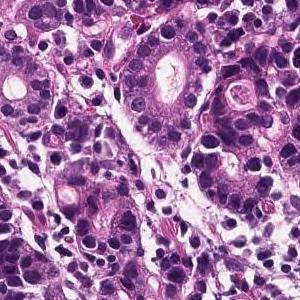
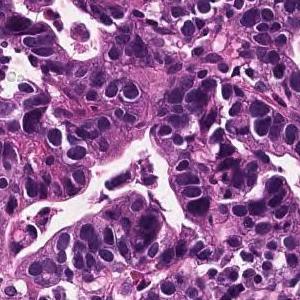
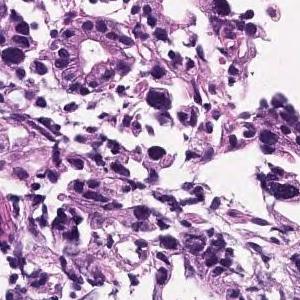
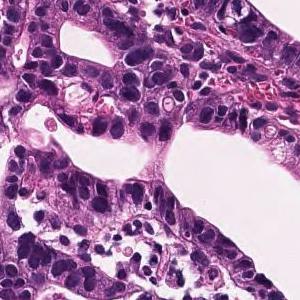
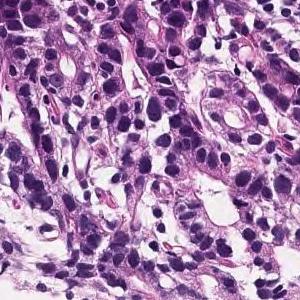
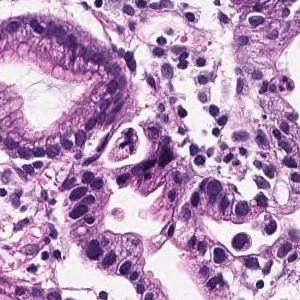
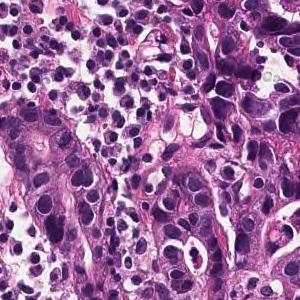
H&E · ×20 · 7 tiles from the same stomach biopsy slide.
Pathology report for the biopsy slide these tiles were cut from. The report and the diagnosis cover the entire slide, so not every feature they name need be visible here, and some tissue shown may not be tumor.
On the superficial epithelium, tumor tissue consisting of large, irregular glandular ducts partially fused and infiltrated is observed. Well to moderately differentiated tubular adenocarcinoma (well differentiated tubular adenocarcinoma, moderately differentiated tubular adenocarcinoma)
Classified as well to moderately differentiated tubular adenocarcinoma.
